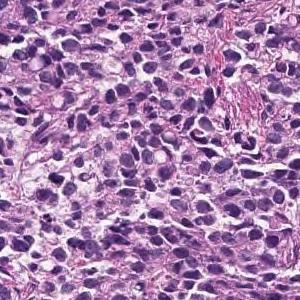
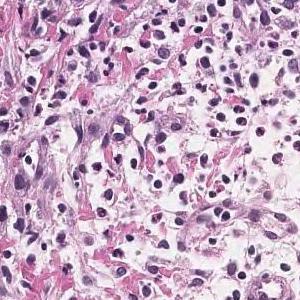
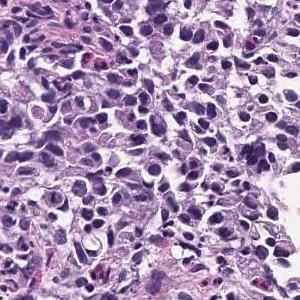
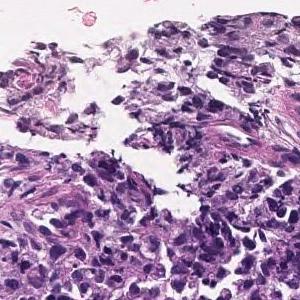
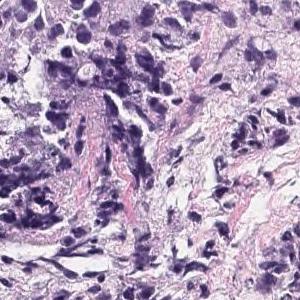
×20 · 5 tiles from the same stomach biopsy slide · 300 × 300 pixels each.
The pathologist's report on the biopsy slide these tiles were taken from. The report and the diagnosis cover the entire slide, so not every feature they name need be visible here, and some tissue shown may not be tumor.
The superficial epithelium shows a large sheet-like shape, and some tumor tissue infiltrates with small irregular ducts. Poorly differentiated adenocarcinoma, solid-type
Subtype: Poorly differentiated adenocarcinoma, solid type, a category of the Japanese Classification of Gastric Carcinoma; in the WHO 2019 classification it is tubular adenocarcinoma, poorly differentiated.
